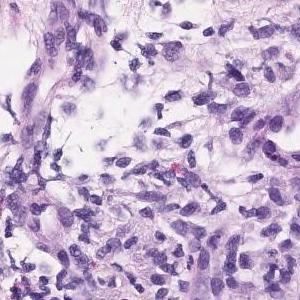
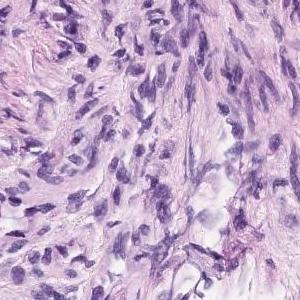
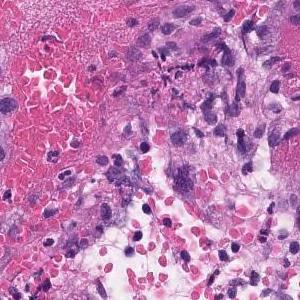
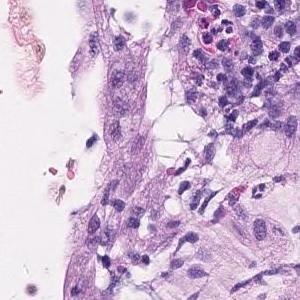
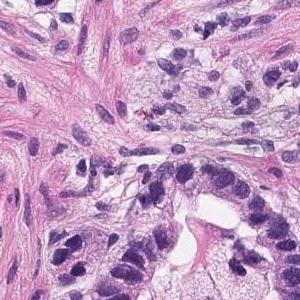
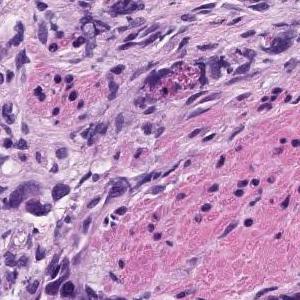
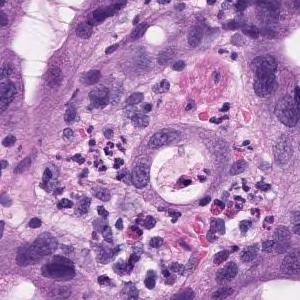
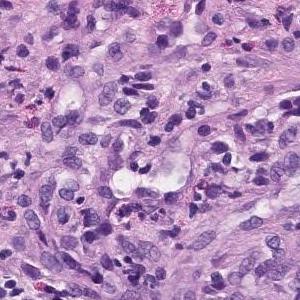
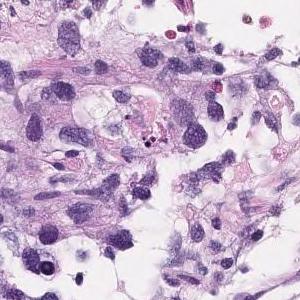
9 tiles from the same stomach biopsy slide; each 300 × 300 pixels; 20× magnification; H&E.
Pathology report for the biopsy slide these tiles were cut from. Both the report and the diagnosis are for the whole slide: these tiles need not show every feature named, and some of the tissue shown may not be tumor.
Group 5, Adenocarcinoma. Moderately to poorly differentiated adenocarcinoma
